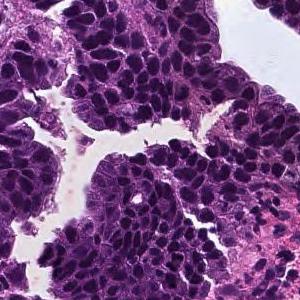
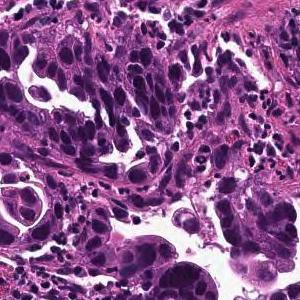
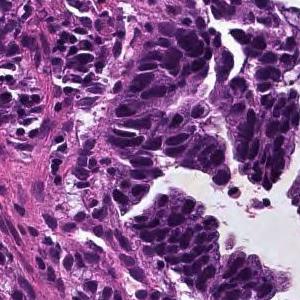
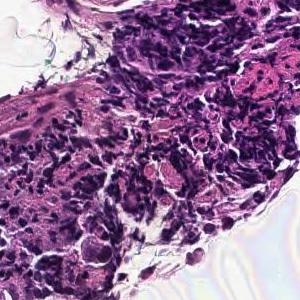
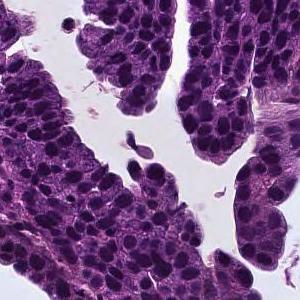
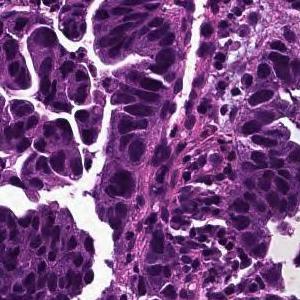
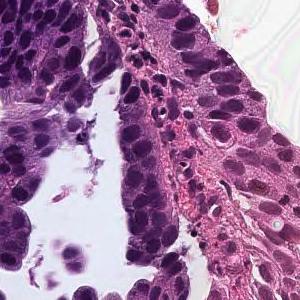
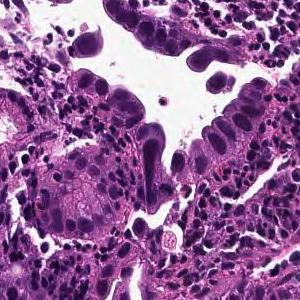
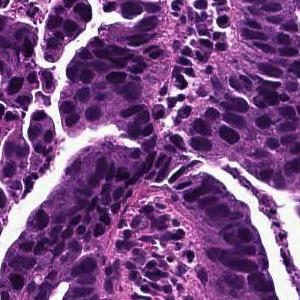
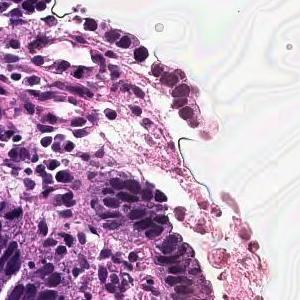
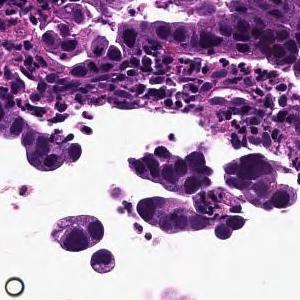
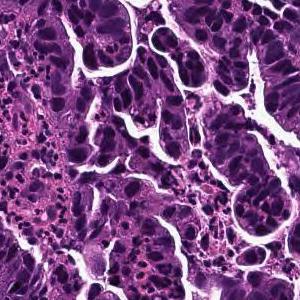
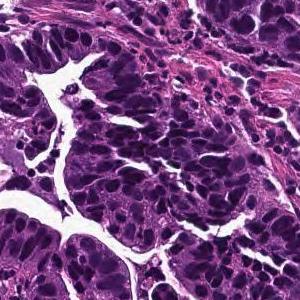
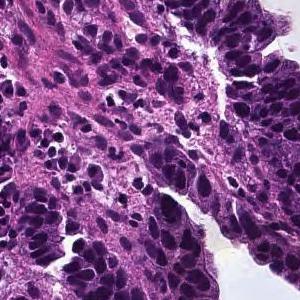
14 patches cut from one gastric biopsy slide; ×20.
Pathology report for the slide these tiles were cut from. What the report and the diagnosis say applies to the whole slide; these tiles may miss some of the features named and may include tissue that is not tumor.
Tumor cells are large, highly columnar, large club-shaped nuclei, and are associated with chromatin aggregation. Papillary adenocarcinoma.
